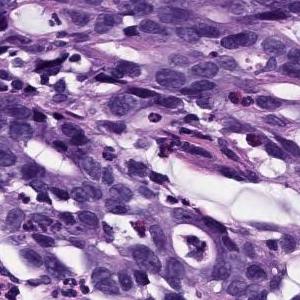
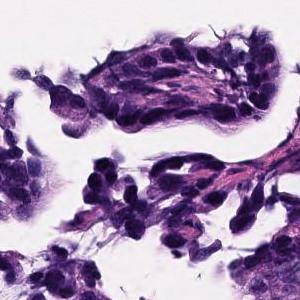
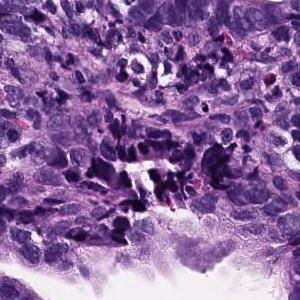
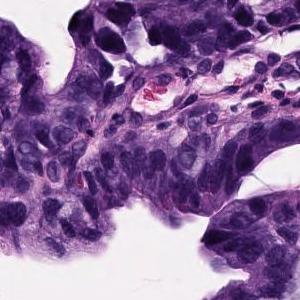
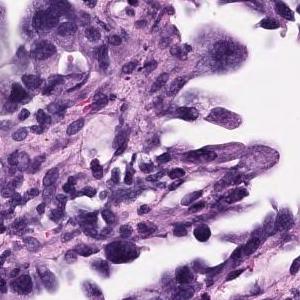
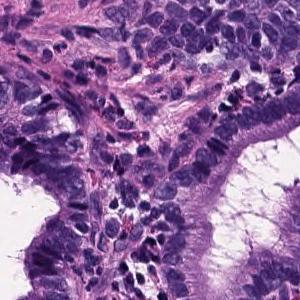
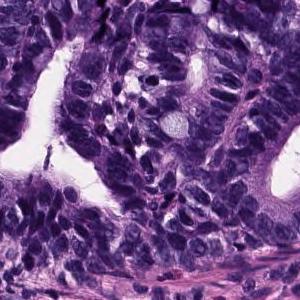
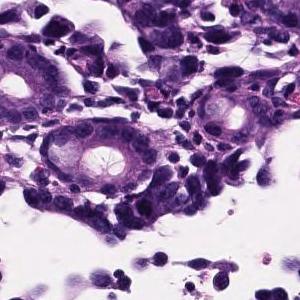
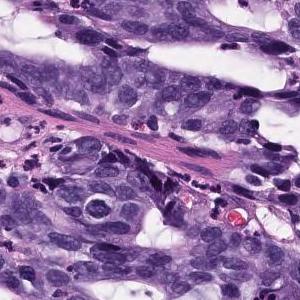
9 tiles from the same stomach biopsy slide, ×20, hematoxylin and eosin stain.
Report on the slide these tiles come from. The report describes the whole slide, diagnosis included: not every finding it names need appear in these tiles, which may also show non-tumor tissue.
Atypical epithelium proliferating showing villus construction and irregular gland duct construction is observed. Moderately differentiated tubular adenocarcinoma.
